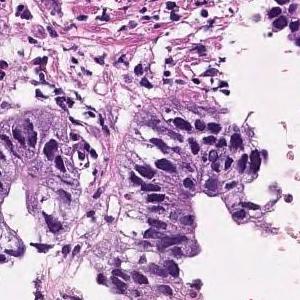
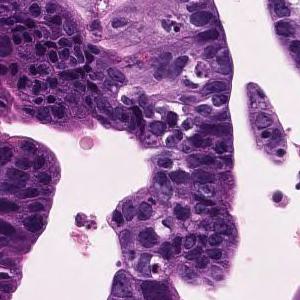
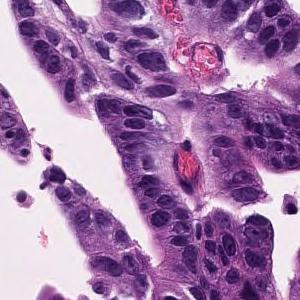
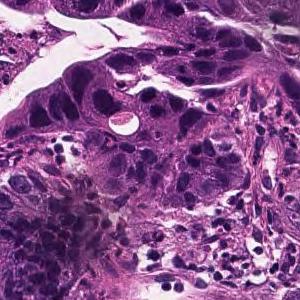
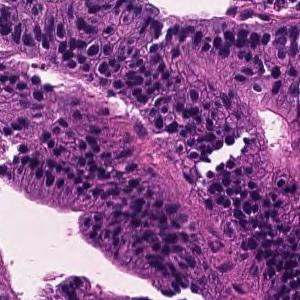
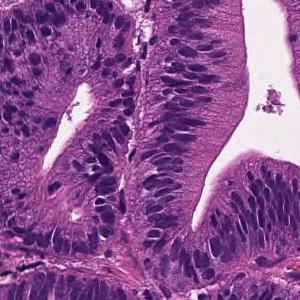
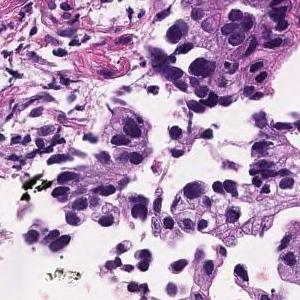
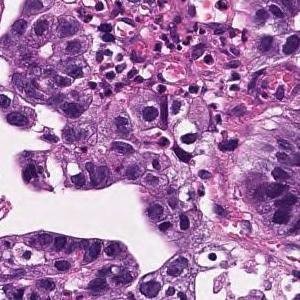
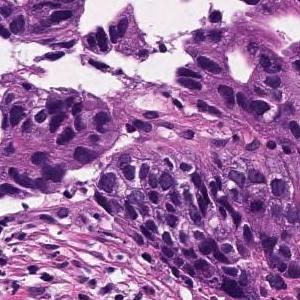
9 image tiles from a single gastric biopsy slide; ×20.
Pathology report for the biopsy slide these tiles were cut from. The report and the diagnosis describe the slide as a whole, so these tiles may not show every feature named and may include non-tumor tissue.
Tumor cells are large, highly columnar, large club-shaped nuclei, and are associated with chromatin aggregation. Papillary adenocarcinoma.
